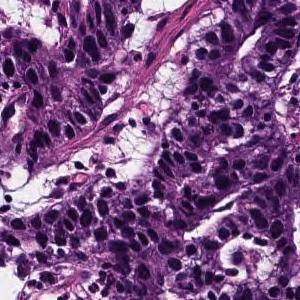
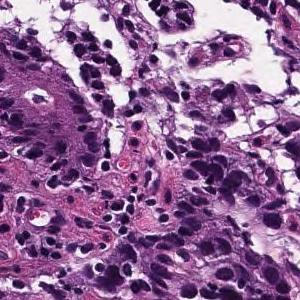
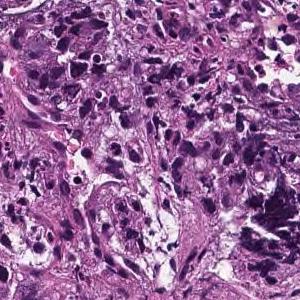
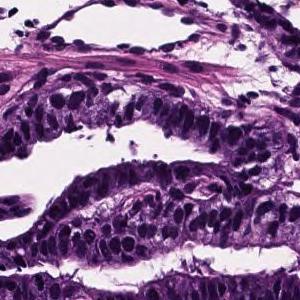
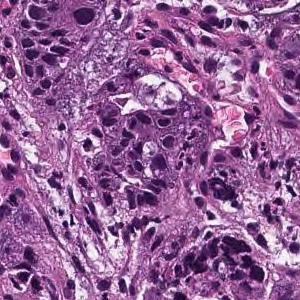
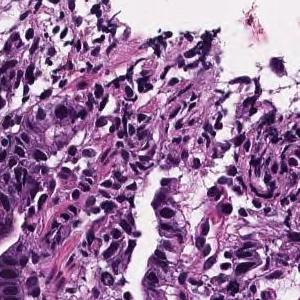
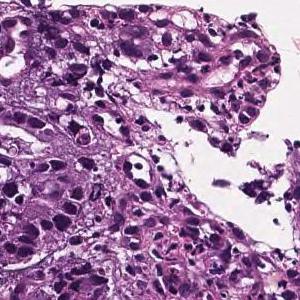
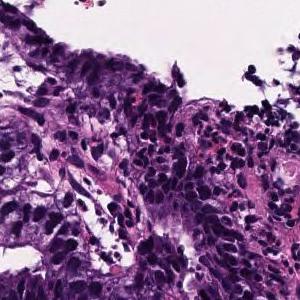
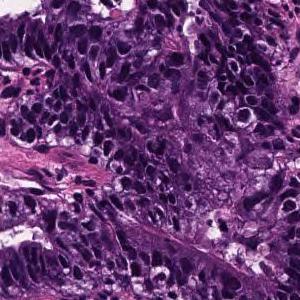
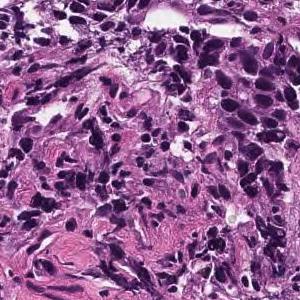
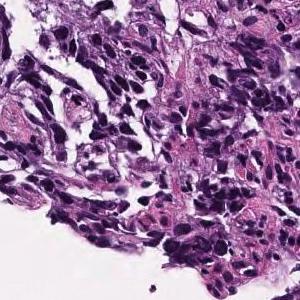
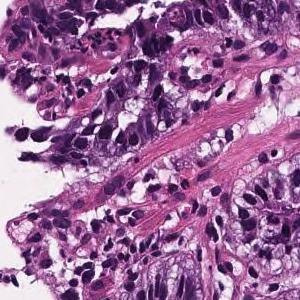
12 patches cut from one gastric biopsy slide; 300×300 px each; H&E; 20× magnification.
Diagnostic report for the slide these tiles come from. Both the report and the diagnosis are for the whole slide: these tiles need not show every feature named, and some of the tissue shown may not be tumor.
Atypical l cells with atypical nuclei forming diffuse or small irregular atypical ducts and growing. Moderately to poorly differentiated adenocarcinoma (poorly differentiated adenocarcinoma, solid type moderately differentiated tubular adenocarcinoma)
Subtype: Moderately to poorly differentiated adenocarcinoma.
The solid type named here is a Japanese Classification of Gastric Carcinoma category; WHO 2019 calls it tubular adenocarcinoma, poorly differentiated.
